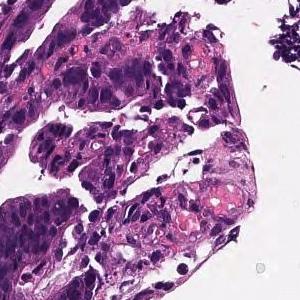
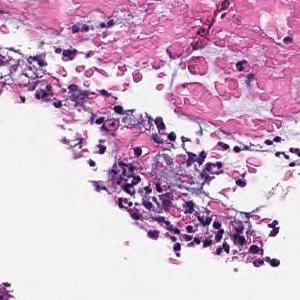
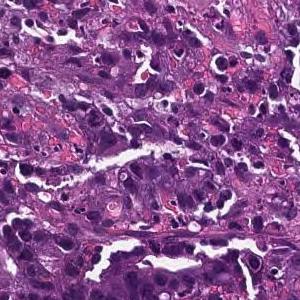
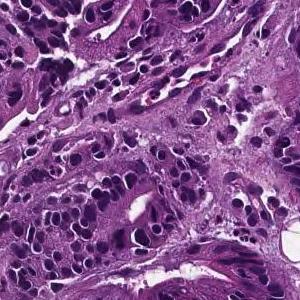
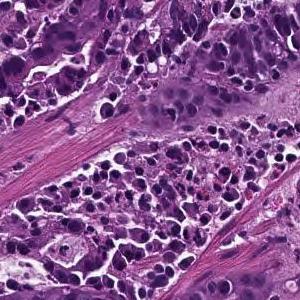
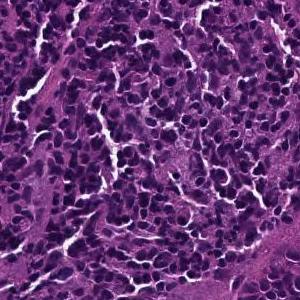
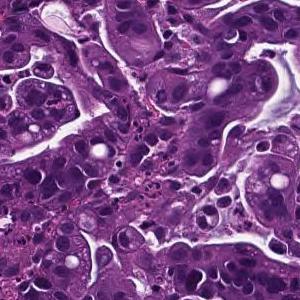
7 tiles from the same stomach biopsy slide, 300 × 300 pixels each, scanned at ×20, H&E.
Pathology report for the biopsy slide these tiles were cut from. The report and the diagnosis cover the entire slide, so not every feature they name need be visible here, and some tissue shown may not be tumor.
On the superficial epithelium, tumor tissue consisting of large irregular glandular ducts partially fused and infiltrated is observed. Well to moderately differentiated tubular adenocarcinoma (well differentiated tubular adenocarcinoma, moderately differentiated tubular adenocarcinoma)
Histologic type: Well to moderately differentiated tubular adenocarcinoma.
